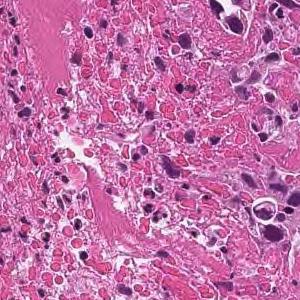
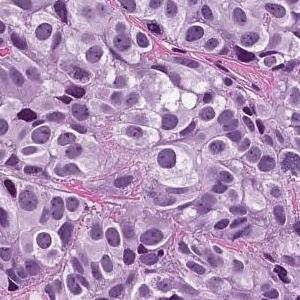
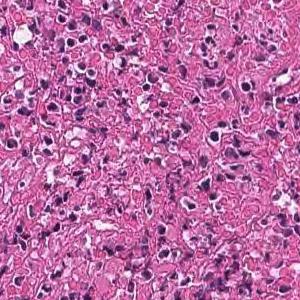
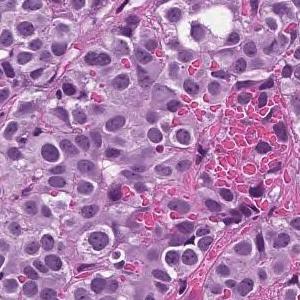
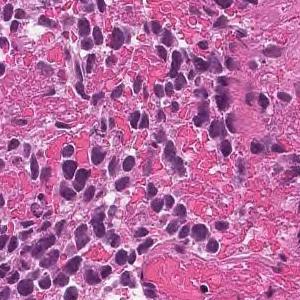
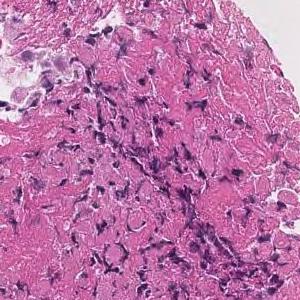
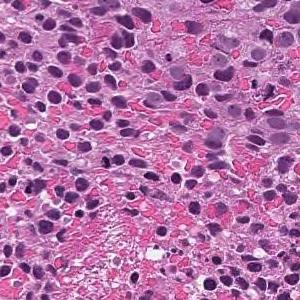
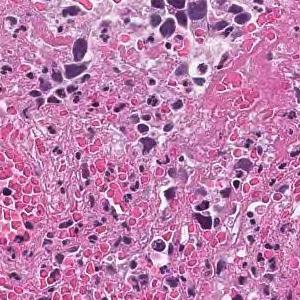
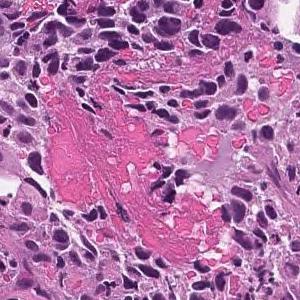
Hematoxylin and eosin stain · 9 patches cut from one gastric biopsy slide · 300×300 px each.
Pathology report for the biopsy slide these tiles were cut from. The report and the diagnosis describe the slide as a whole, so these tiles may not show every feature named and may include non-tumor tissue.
The superficial epithelium shows a large sheet-like shape, and some tumor tissue infiltrates with small irregular ducts. Poorly differentiated adenocarcinoma, solid-type
Subtype: Poorly differentiated adenocarcinoma, solid type (Japanese Classification of Gastric Carcinoma). The WHO 2019 equivalent is tubular adenocarcinoma, poorly differentiated.
